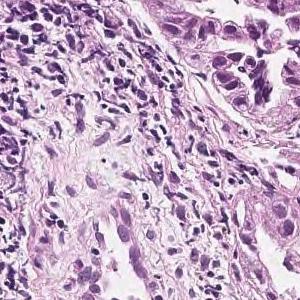
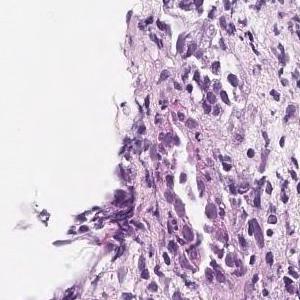
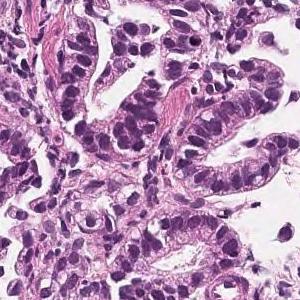
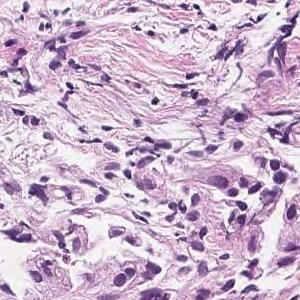
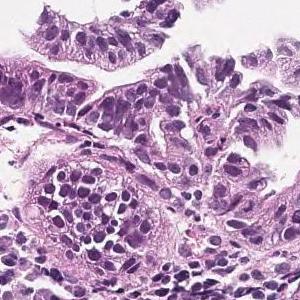
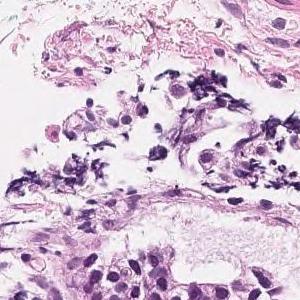
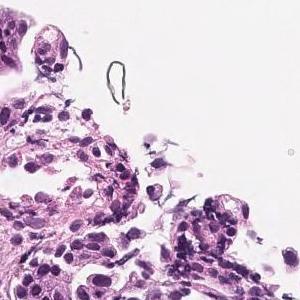
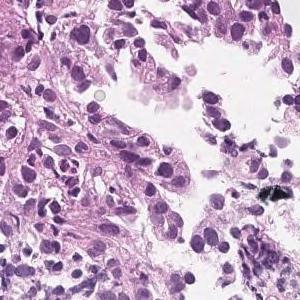
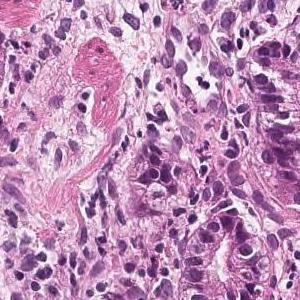
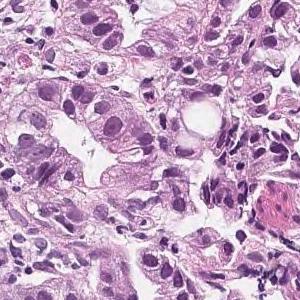
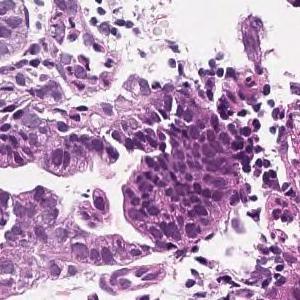
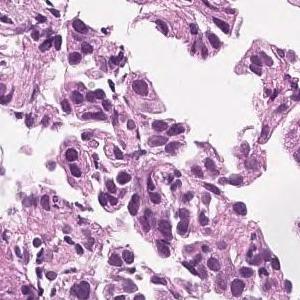
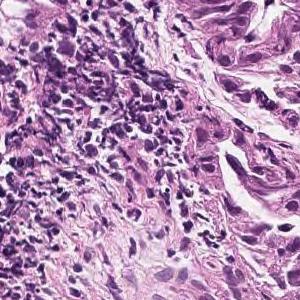
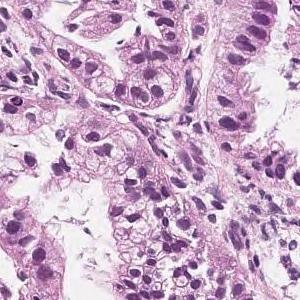
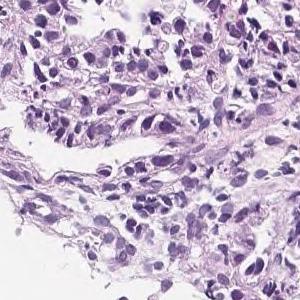
15 patches cut from one gastric biopsy slide · 300 × 300 pixels each.
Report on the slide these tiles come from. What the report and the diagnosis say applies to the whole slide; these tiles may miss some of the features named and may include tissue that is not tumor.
In the superficial epithelium, tumor tissue that invades by forming medium-sized to small, irregular ducts is observed. moderately differentiated tubular adenocarcinoma.
